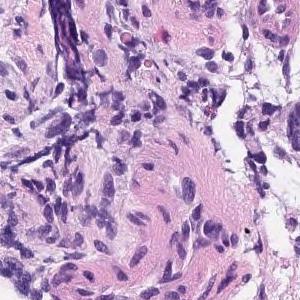
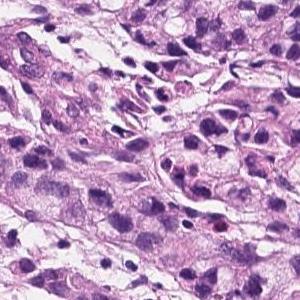
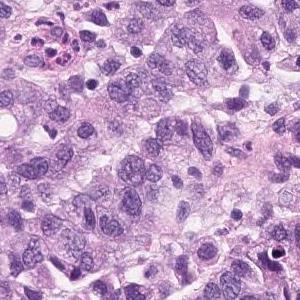
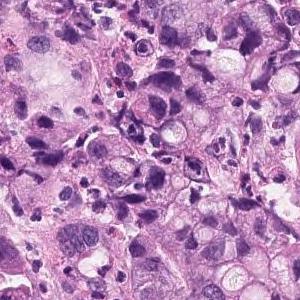
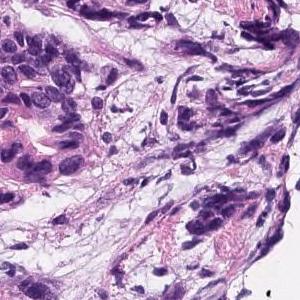
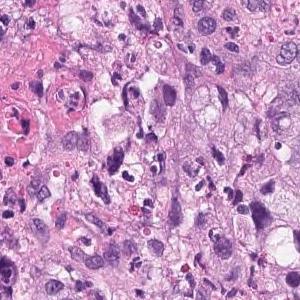
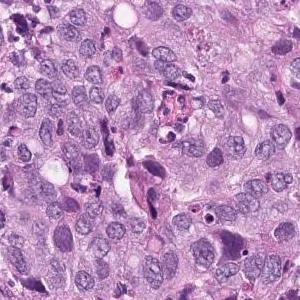
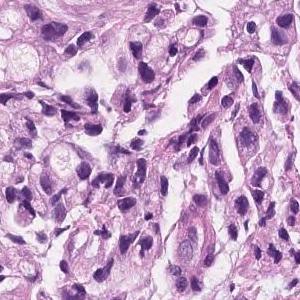
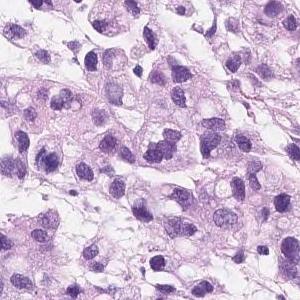
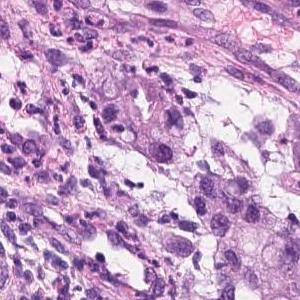
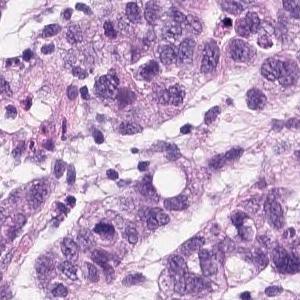
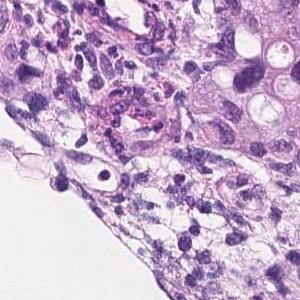
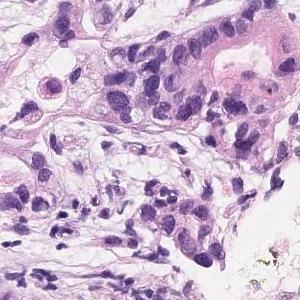
H&E stain, 20× magnification, 13 image tiles from a single gastric biopsy slide.
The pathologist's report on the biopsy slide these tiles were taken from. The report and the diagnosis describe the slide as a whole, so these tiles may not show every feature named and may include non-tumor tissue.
Group 5, Adenocarcinoma. Poorly differentiated adenocarcinoma, non-solid type
The term "non-solid type" comes from the Japanese Classification of Gastric Carcinoma.
